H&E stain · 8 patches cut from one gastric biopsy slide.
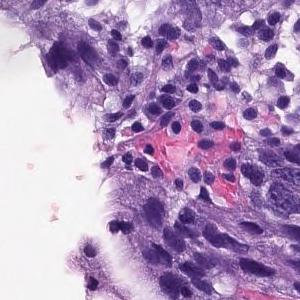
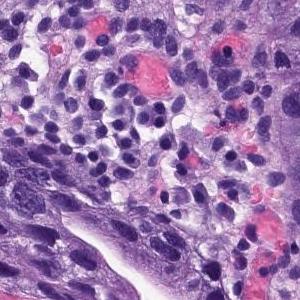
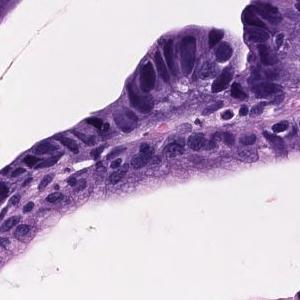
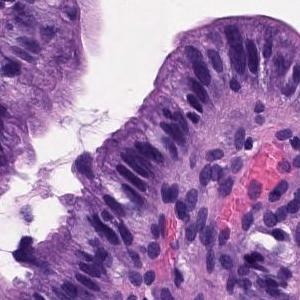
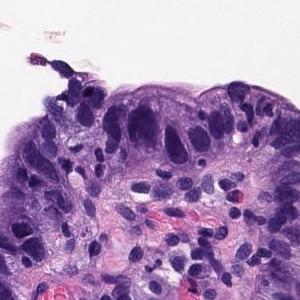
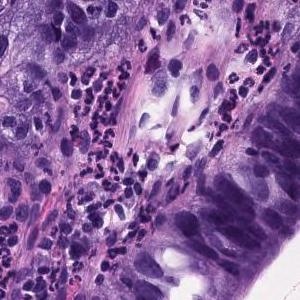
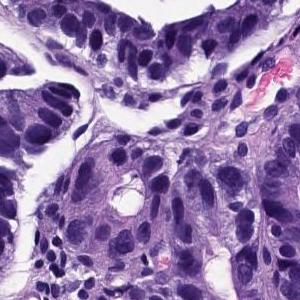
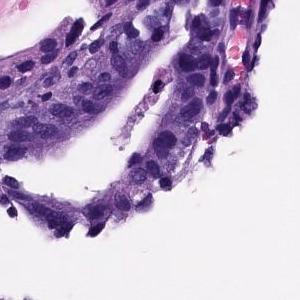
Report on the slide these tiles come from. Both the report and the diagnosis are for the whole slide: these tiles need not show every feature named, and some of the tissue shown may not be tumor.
There are atypical l cells with atypical nuclei forming irregular glandular ducts and growing in a complex manner. Well differentiated tubular adenocarcinoma
